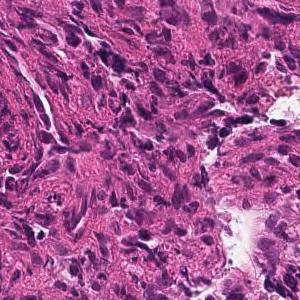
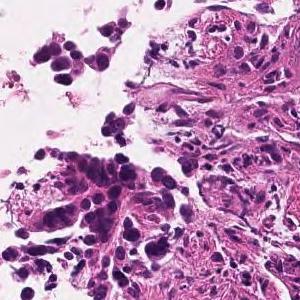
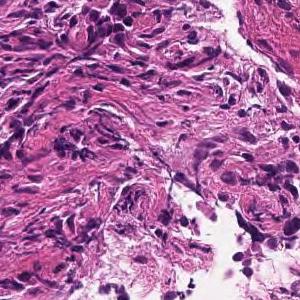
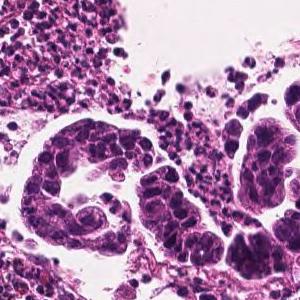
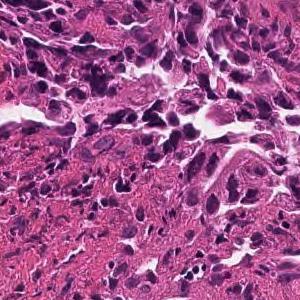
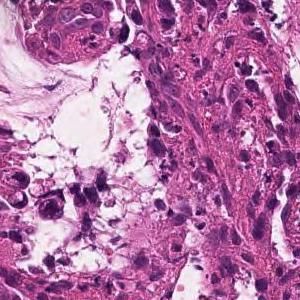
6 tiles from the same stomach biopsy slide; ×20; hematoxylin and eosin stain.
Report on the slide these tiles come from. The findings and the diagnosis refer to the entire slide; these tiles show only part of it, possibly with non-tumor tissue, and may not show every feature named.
In the superficial epithelium, tumor tissue that invades by forming medium-sized to small, irregular ducts is observed. moderately differentiated tubular adenocarcinoma.
